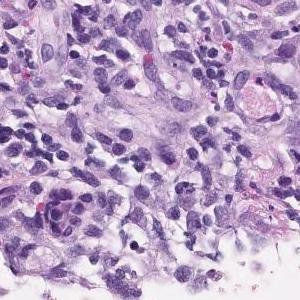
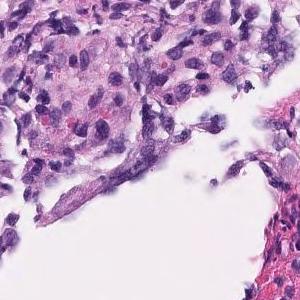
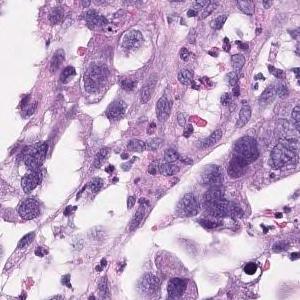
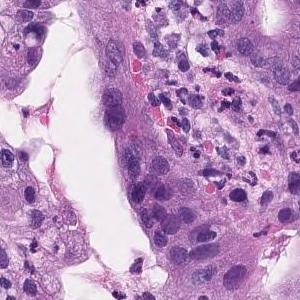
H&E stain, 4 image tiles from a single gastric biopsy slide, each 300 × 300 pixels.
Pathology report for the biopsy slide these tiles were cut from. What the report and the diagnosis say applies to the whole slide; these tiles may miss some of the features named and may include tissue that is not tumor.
Group 5, Adenocarcinoma. Moderately to poorly differentiated adenocarcinoma
